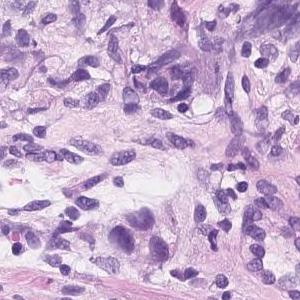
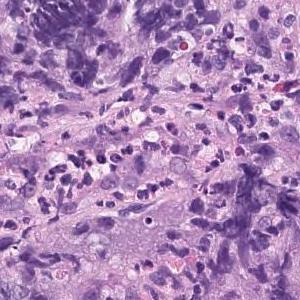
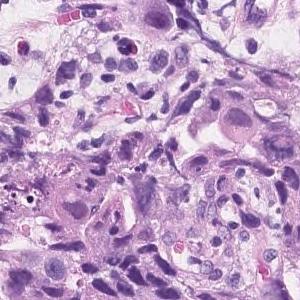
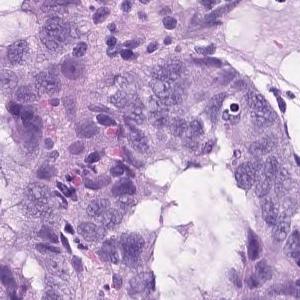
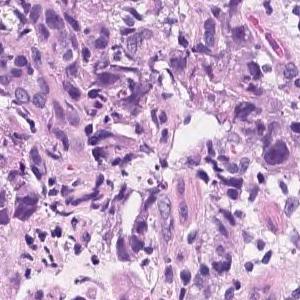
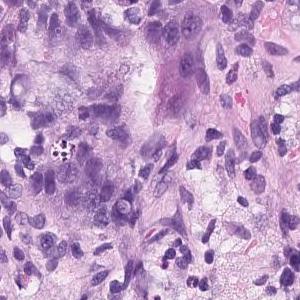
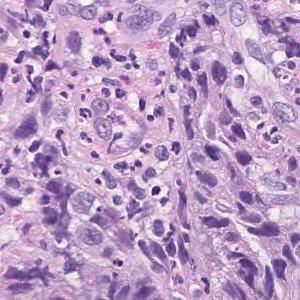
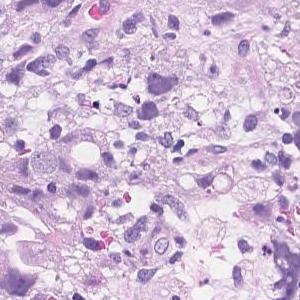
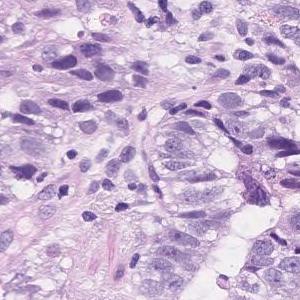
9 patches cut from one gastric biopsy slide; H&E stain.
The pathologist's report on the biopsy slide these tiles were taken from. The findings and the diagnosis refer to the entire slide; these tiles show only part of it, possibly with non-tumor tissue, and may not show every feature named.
Atypical epithelial cells infiltrating and proliferating diffusely or while forming vesicles is observed. Poorly differentiated adenocarcinoma (poorly differentiated adenocarcinoma, solid type moderately differentiated tubular adenocarcinoma)
Dataset label: poorly differentiated adenocarcinoma, solid type. This name comes from the Japanese Classification of Gastric Carcinoma; the WHO 2019 classification calls it tubular adenocarcinoma, poorly differentiated.
